20× magnification, hematoxylin and eosin stain, 12 tiles from the same stomach biopsy slide, 300 × 300 pixels each.
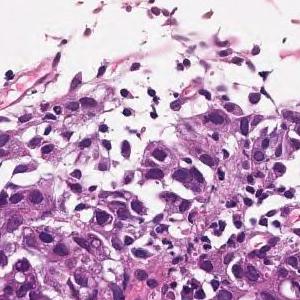
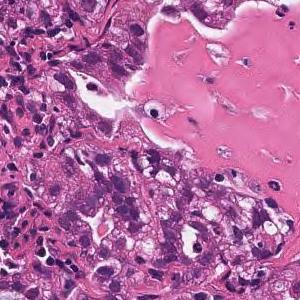
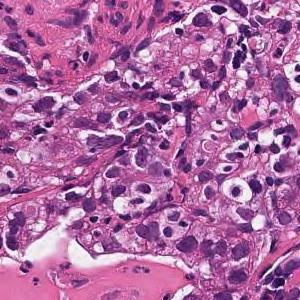
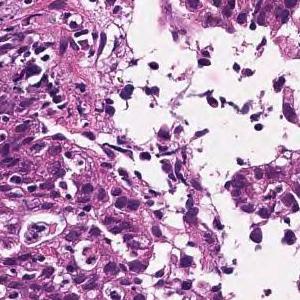
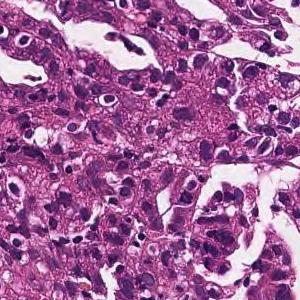
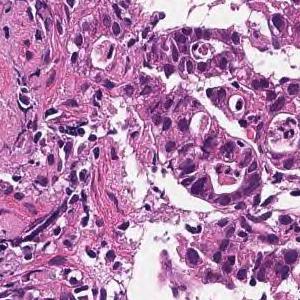
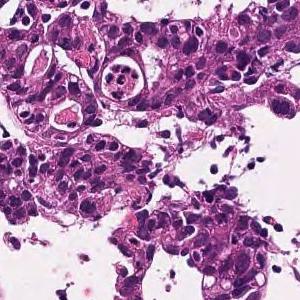
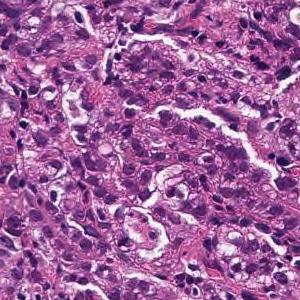
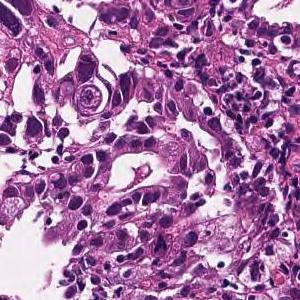
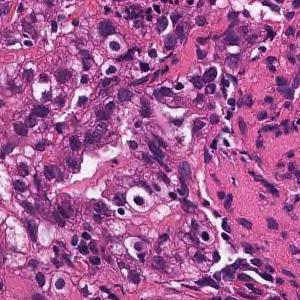
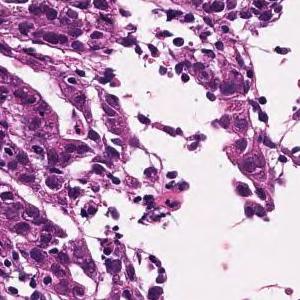
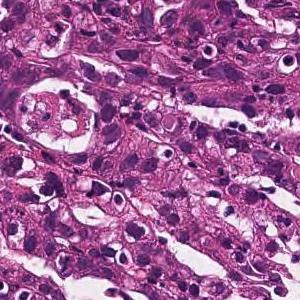
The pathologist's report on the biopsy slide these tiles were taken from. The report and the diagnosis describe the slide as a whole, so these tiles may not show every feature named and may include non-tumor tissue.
Tumor tissue consisting of cord-like or small, irregular glandular ducts fused and infiltrated is observed in the superficial epithelium. Poorly differentiated adenocarcinoma, non-solid type
The non-solid type named here is a Japanese Classification of Gastric Carcinoma category.
